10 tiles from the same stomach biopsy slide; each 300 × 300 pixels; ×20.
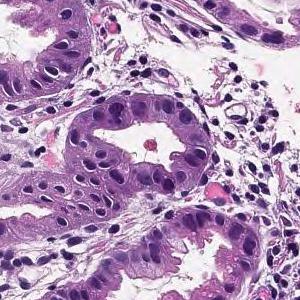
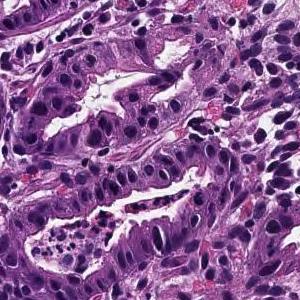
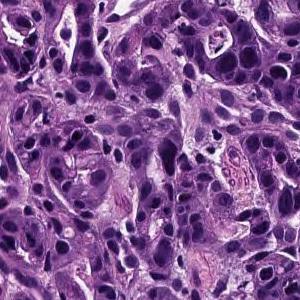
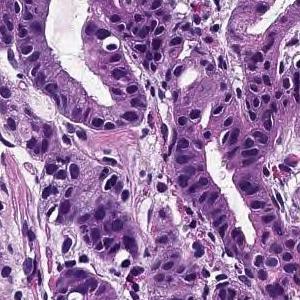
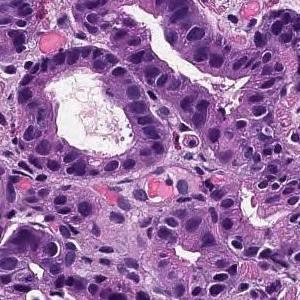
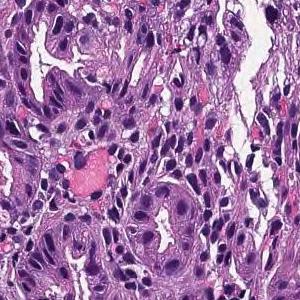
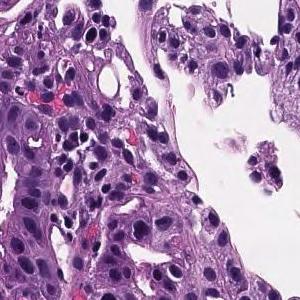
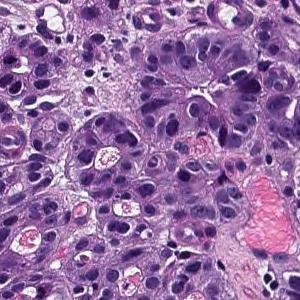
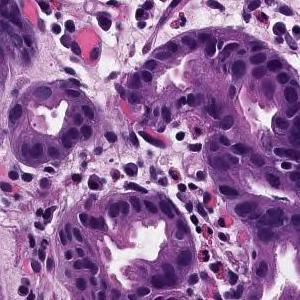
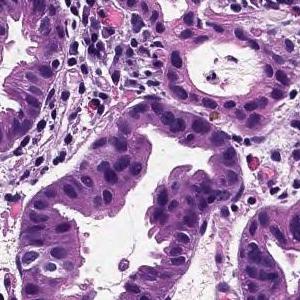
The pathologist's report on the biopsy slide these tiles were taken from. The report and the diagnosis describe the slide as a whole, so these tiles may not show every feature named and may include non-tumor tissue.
From the superficial epithelium to the muscularis mucosae, tumor tissue consisting of medium-sized and irregular glandular ducts infiltrating is observed. Well differentiated tubular adenocarcinoma
